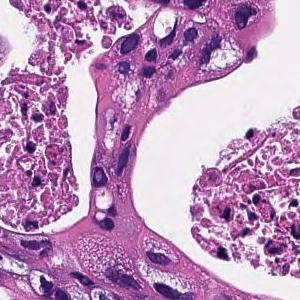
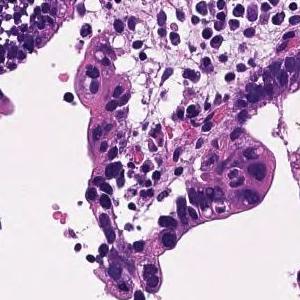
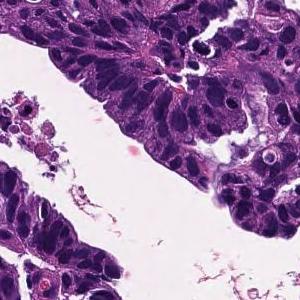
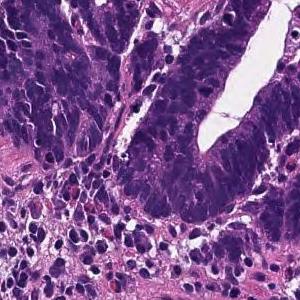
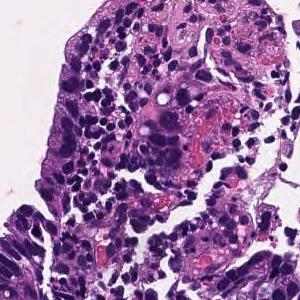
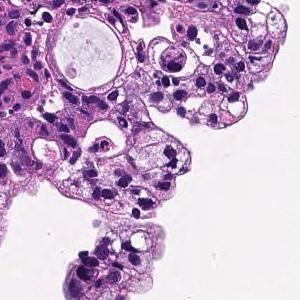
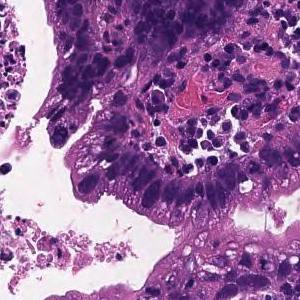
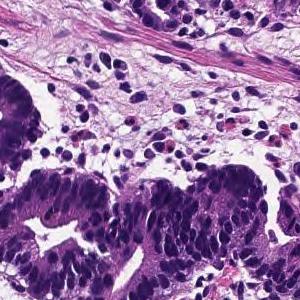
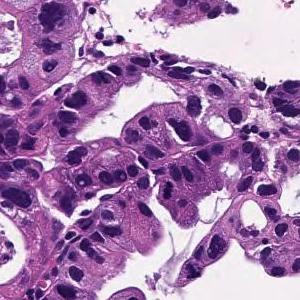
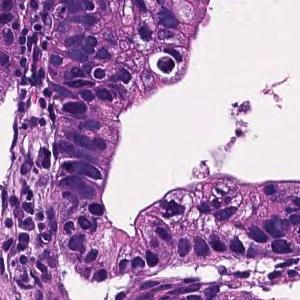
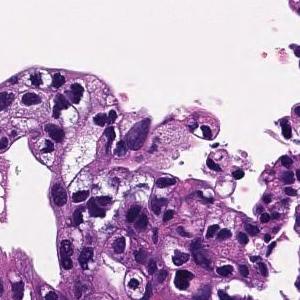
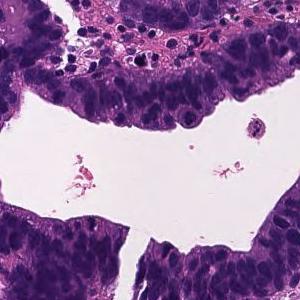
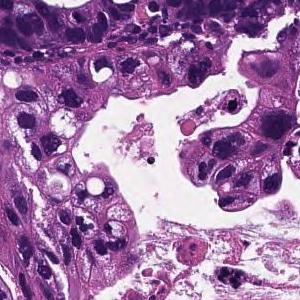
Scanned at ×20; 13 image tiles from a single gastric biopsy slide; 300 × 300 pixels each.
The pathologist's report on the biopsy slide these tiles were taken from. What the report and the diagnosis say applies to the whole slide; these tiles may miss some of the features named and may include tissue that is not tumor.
In the superficial epithelium, tumor tissue that invades by forming medium-sized to small, irregular ducts is observed. moderately differentiated tubular adenocarcinoma.
